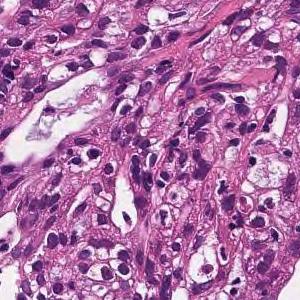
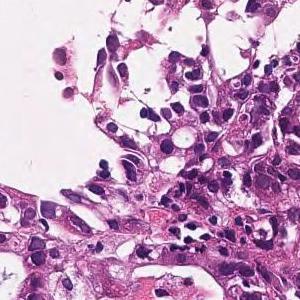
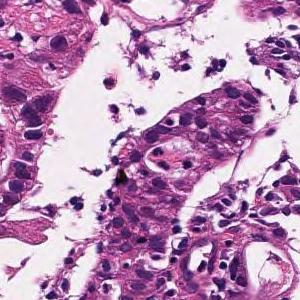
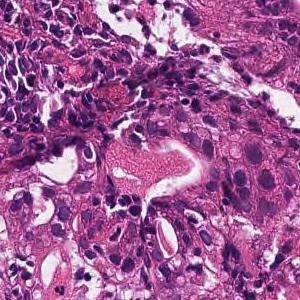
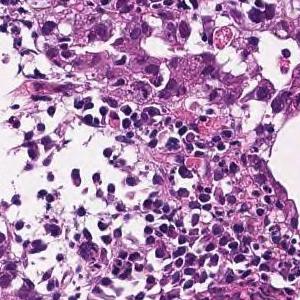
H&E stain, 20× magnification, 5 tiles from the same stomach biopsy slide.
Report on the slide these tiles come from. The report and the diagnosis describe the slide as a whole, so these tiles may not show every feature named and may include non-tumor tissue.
Tumor tissue consisting of cord-like or small, irregular glandular ducts fused and infiltrated is observed in the superficial epithelium. Poorly differentiated adenocarcinoma, non-solid type
The term "non-solid type" comes from the Japanese Classification of Gastric Carcinoma.
